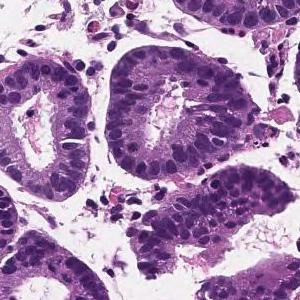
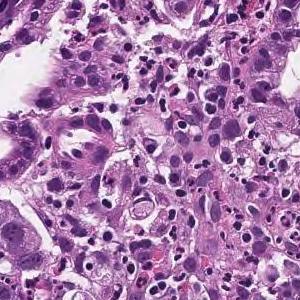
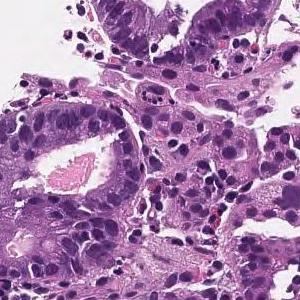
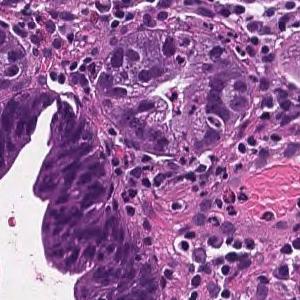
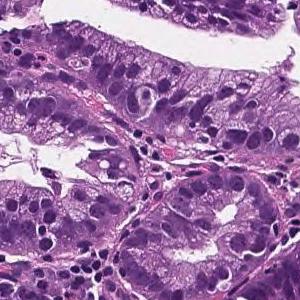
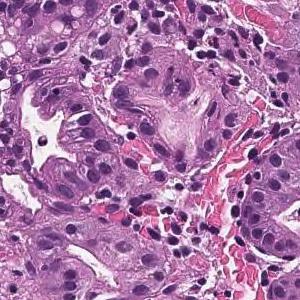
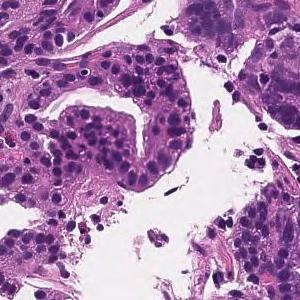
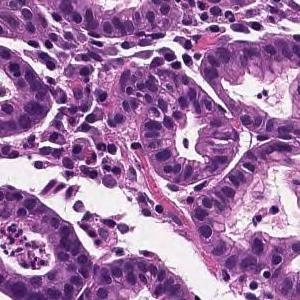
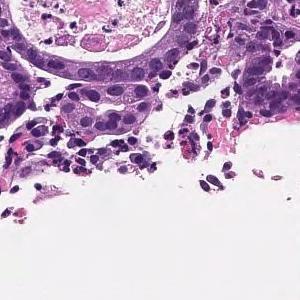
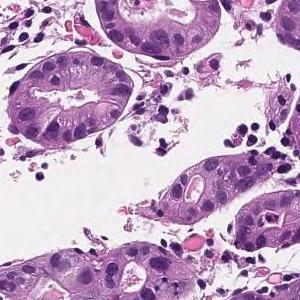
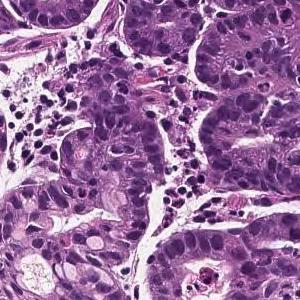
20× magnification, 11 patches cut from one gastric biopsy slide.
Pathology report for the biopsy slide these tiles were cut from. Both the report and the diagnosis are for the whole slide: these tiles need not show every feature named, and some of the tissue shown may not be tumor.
On the superficial epithelium, tumor tissue consisting of medium-sized irregular or small round gland ducts showing a small cord-like shape and infiltrating is observed. Well differentiated tubular adenocarcinoma or Poorly differentiated adenocarcinoma, non-solid type
The dataset labels this slide well differentiated tubular adenocarcinoma.
"Non-solid type" is a category of the Japanese Classification of Gastric Carcinoma.
